14 tiles cut from one stomach biopsy slide, 300×300 px each, ×20, H&E.
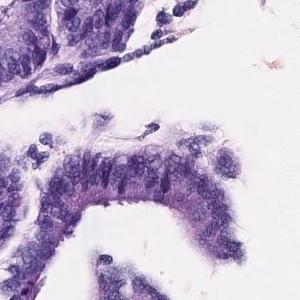
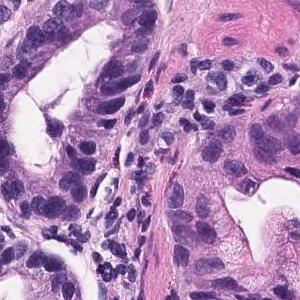
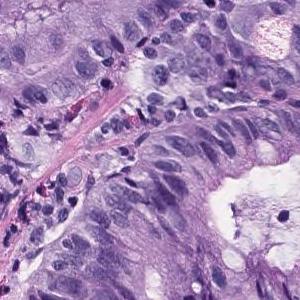
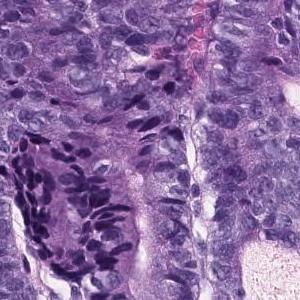
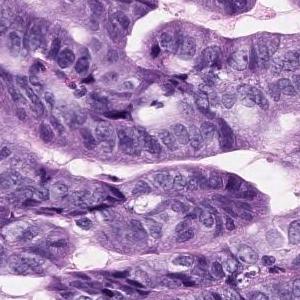
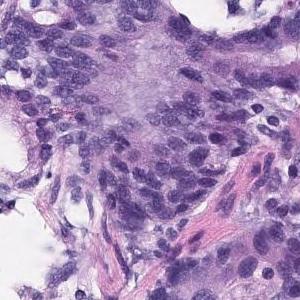
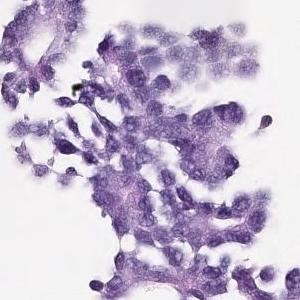
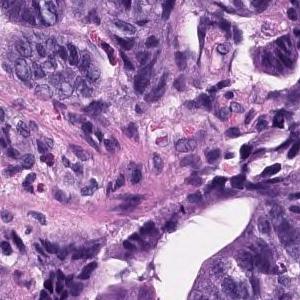
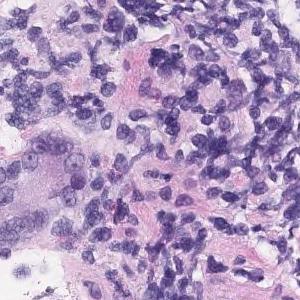
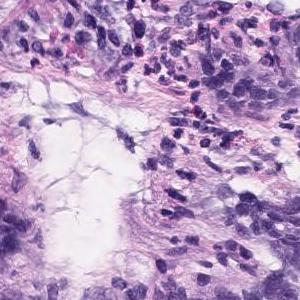
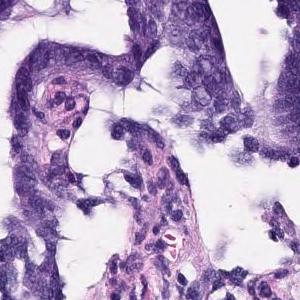
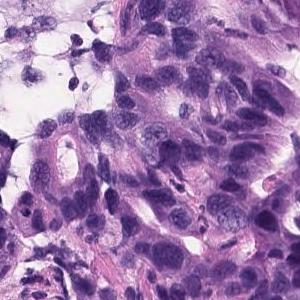
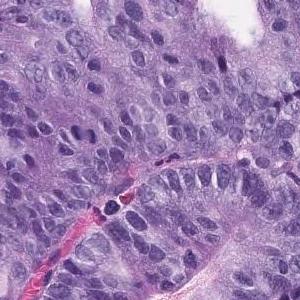
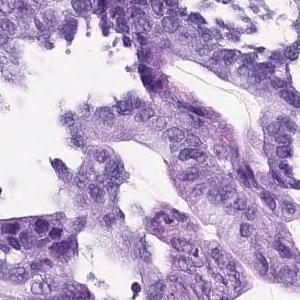
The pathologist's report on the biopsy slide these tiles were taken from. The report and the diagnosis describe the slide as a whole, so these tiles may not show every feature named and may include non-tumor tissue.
In the superficial epithelium, tumor tissue that invades by forming medium-sized to small, irregular ducts is observed. Well to moderately differentiated tubular adenocarcinoma.
